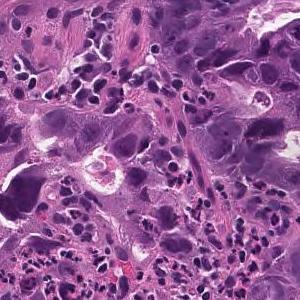
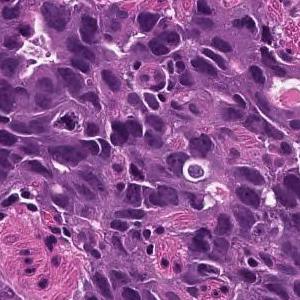
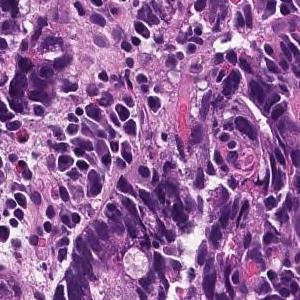
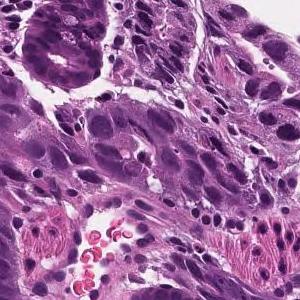
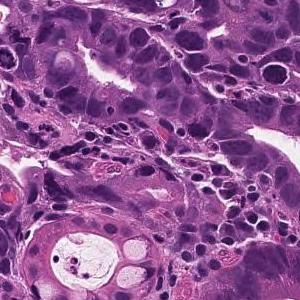
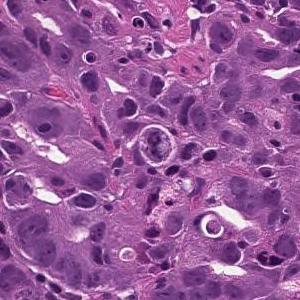
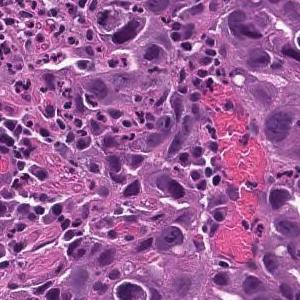
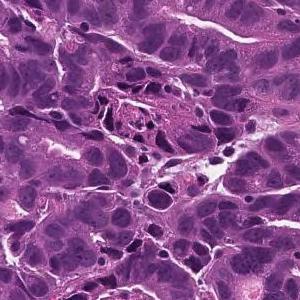
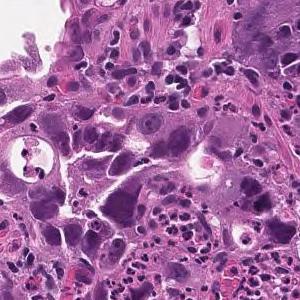
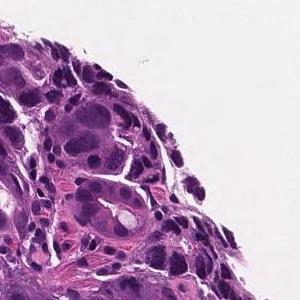
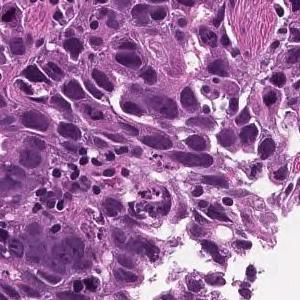
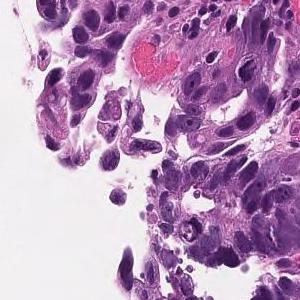
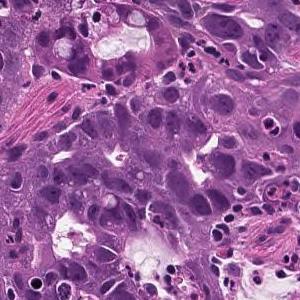
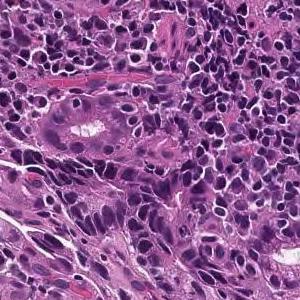
Hematoxylin and eosin stain; 20× magnification; 14 patches cut from one gastric biopsy slide.
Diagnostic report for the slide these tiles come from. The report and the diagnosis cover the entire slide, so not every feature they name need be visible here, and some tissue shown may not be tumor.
On the superficial epithelium, tumor tissue is found in which medium-sized irregular gland ducts fuse with each other and infiltrate. moderately differentiated tubular adenocarcinoma
